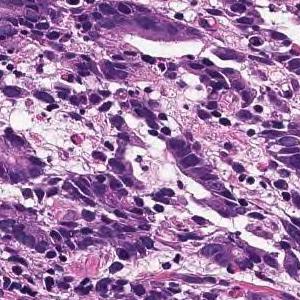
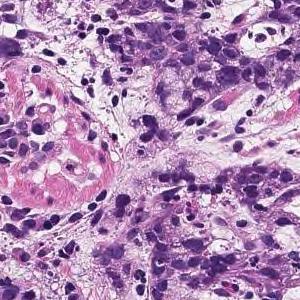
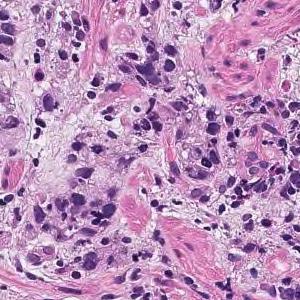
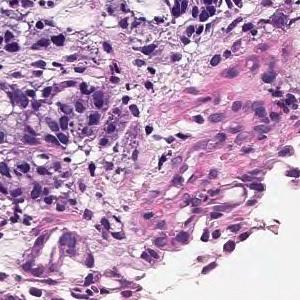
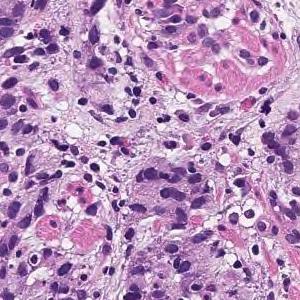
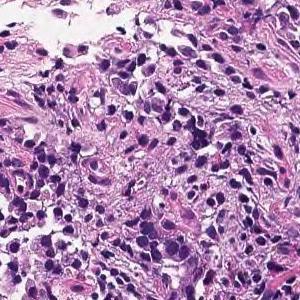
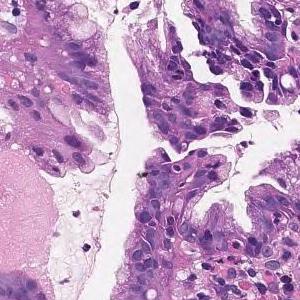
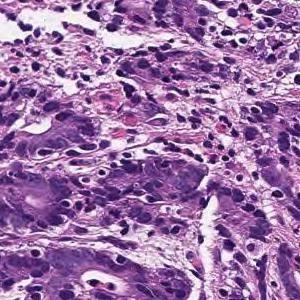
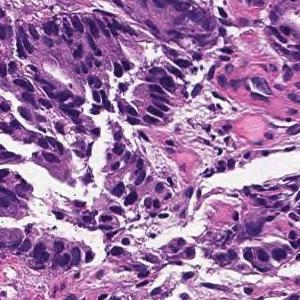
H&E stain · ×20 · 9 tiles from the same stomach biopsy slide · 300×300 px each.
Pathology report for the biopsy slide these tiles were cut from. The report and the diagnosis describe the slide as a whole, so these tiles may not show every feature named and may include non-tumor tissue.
Tumor tissue consisting of cord-like or small, irregular glandular ducts fused and infiltrated is observed in the superficial epithelium. Poorly differentiated adenocarcinoma, non-solid type
The term "non-solid type" comes from the Japanese Classification of Gastric Carcinoma.
